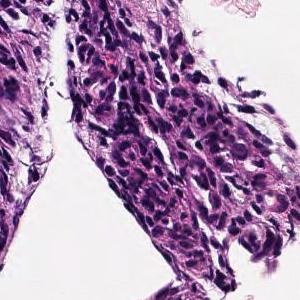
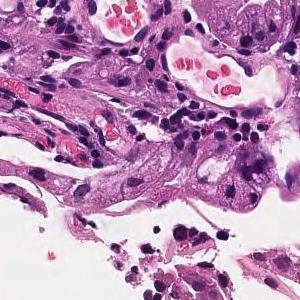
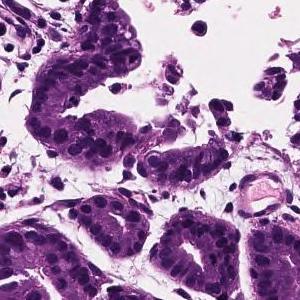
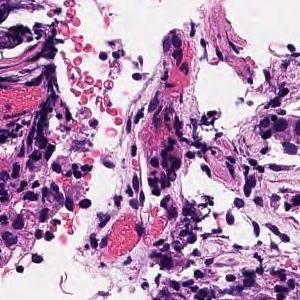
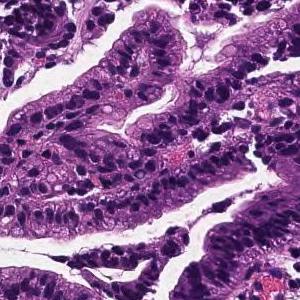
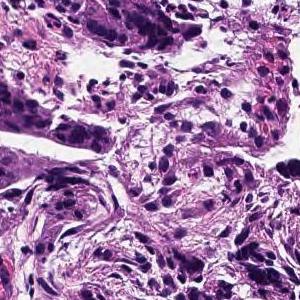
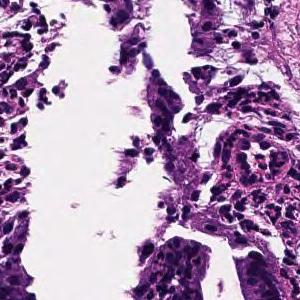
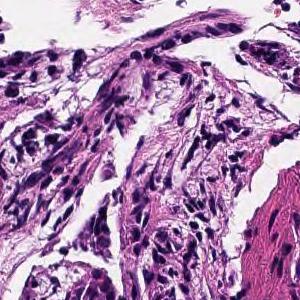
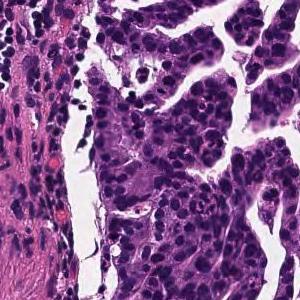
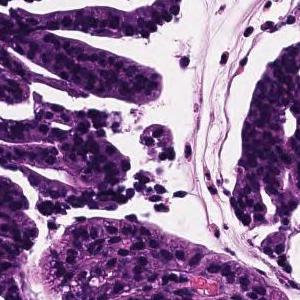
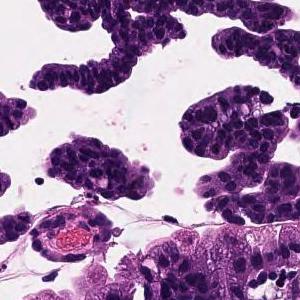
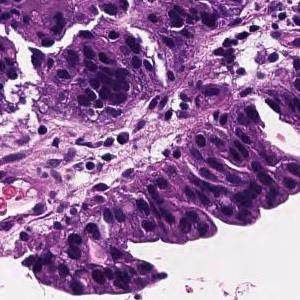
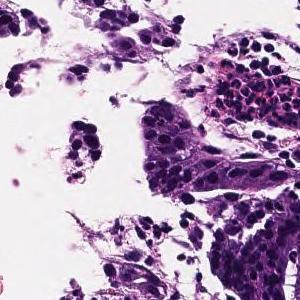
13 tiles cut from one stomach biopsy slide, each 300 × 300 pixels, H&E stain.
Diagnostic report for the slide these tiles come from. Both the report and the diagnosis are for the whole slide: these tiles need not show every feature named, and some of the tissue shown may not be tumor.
On the superficial epithelium, tumor tissue that infiltrates by forming medium-sized papillary or small irregular ducts is observed. Papillary adenocarcinoma
